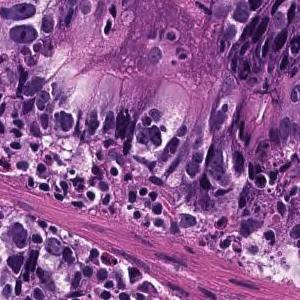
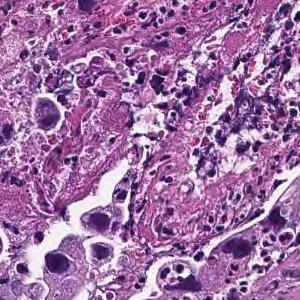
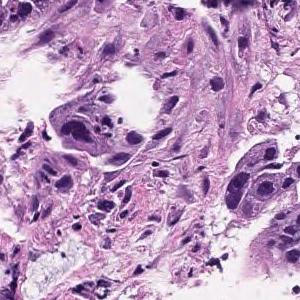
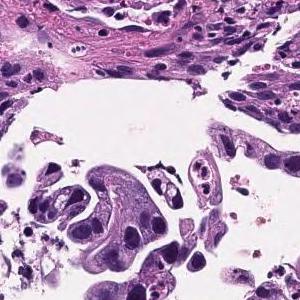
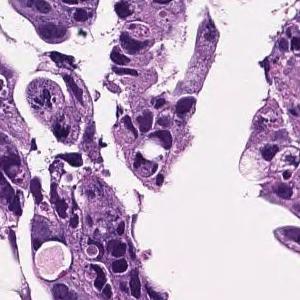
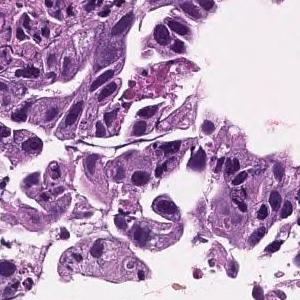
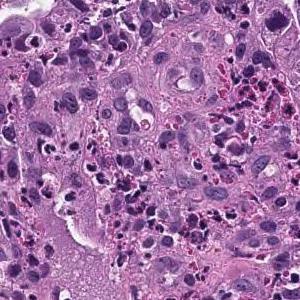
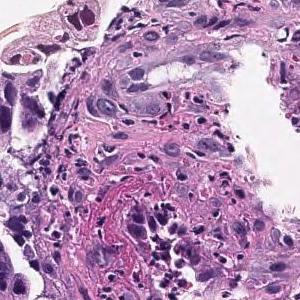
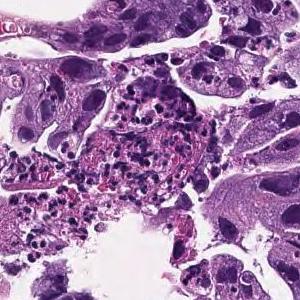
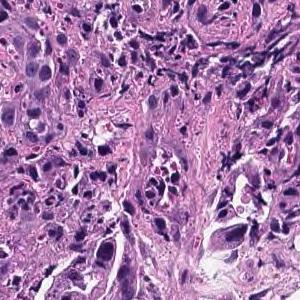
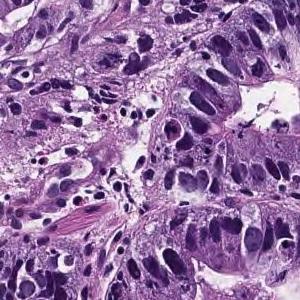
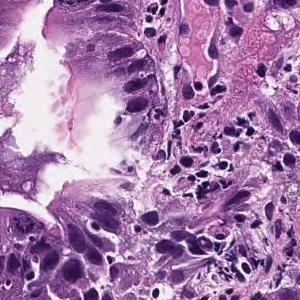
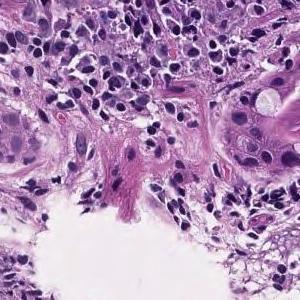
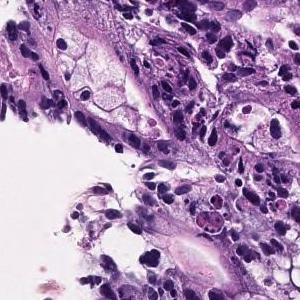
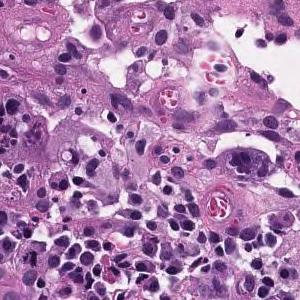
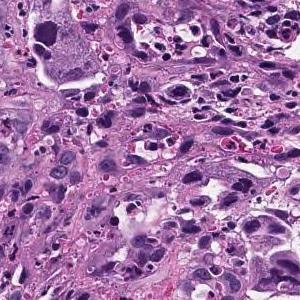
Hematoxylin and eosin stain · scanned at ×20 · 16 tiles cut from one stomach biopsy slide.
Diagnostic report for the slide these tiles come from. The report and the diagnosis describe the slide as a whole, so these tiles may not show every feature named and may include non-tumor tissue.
In the superficial epithelium, medium to small irregular gland ducts are formed, and in some cases, the ducts are fused to show solid alveolar lesions and infiltrating tumor tissue is observed. Moderately to poorly differentiated adenocarcinoma
